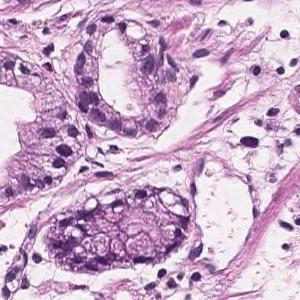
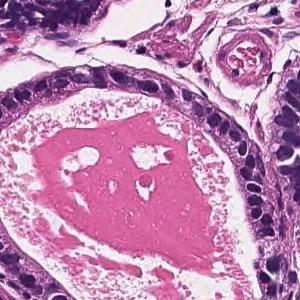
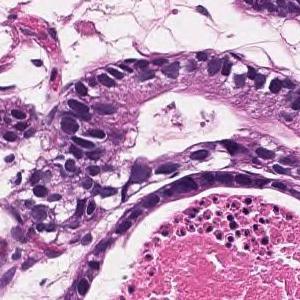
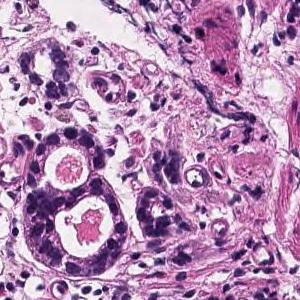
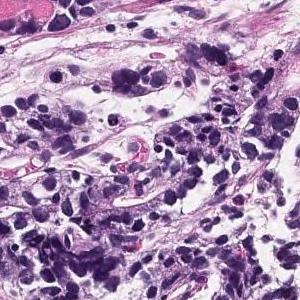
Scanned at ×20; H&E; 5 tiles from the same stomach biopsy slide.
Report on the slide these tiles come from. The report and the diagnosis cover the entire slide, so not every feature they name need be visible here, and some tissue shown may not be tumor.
Tumor tissue consisting of medium-sized and irregular ducts is observed infiltrating in the superficial epithelium. Tumor cells are highly columnar, with nuclei aligned basolaterally and polarized. Well differentiated tubular adenocarcinoma.
